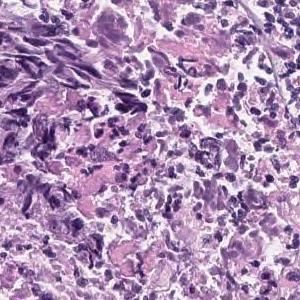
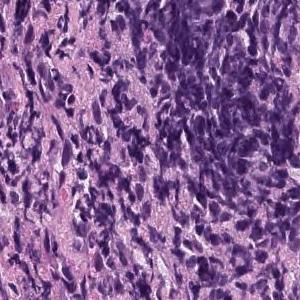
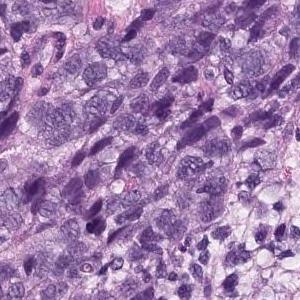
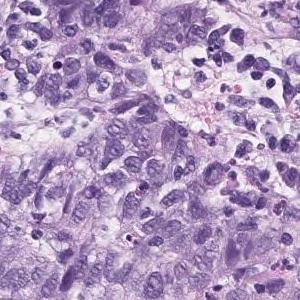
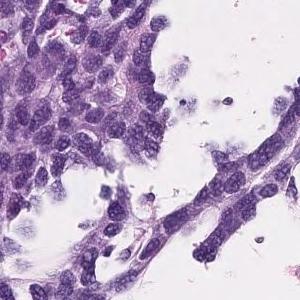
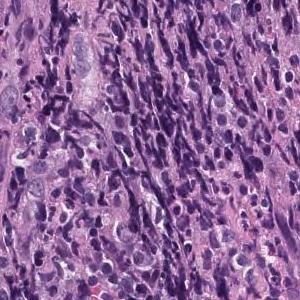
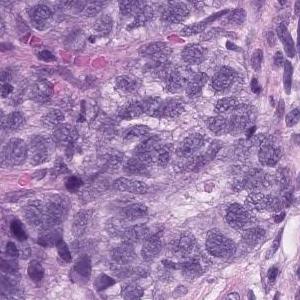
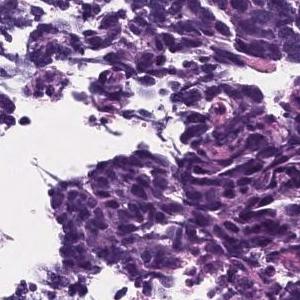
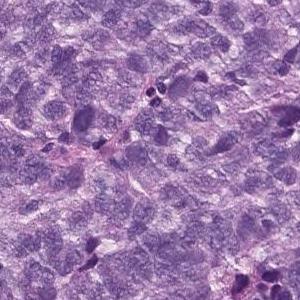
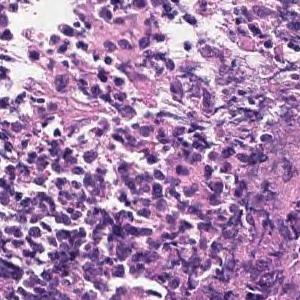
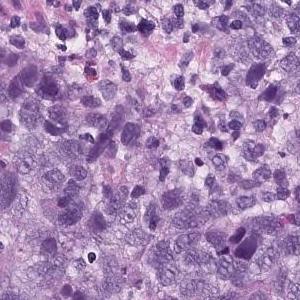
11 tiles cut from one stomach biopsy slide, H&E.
Pathology report for the slide these tiles were cut from. What the report and the diagnosis say applies to the whole slide; these tiles may miss some of the features named and may include tissue that is not tumor.
Epithelial cells with swollen nuclei with atypia invasively proliferating while forming vesicles is observed. Poorly differentiated adenocarcinoma
Classified as poorly differentiated adenocarcinoma, solid type. This name comes from the Japanese Classification of Gastric Carcinoma; the WHO 2019 classification calls it tubular adenocarcinoma, poorly differentiated.
